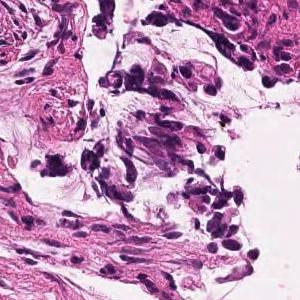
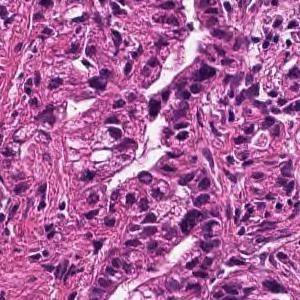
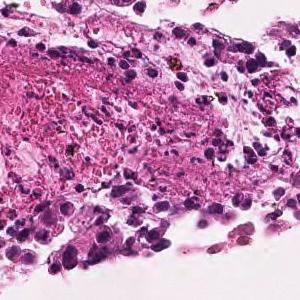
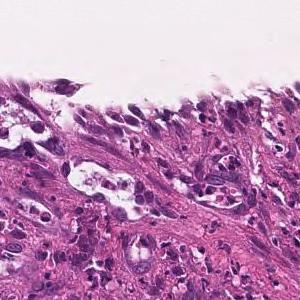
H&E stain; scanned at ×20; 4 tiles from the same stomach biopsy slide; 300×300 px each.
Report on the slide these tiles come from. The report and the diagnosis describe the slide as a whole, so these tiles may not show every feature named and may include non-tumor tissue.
In the superficial epithelium, tumor tissue that invades by forming medium-sized to small, irregular ducts is observed. moderately differentiated tubular adenocarcinoma.
